Scanned at ×20; H&E stain; 14 tiles from the same stomach biopsy slide.
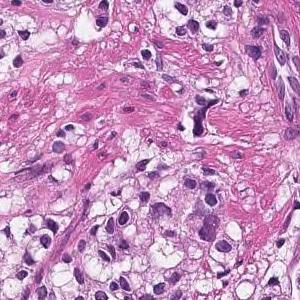
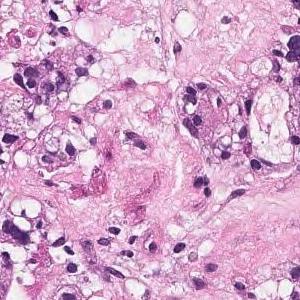
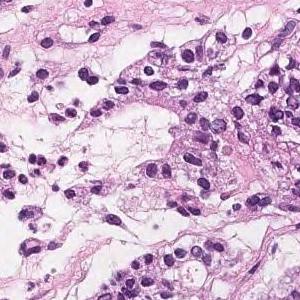
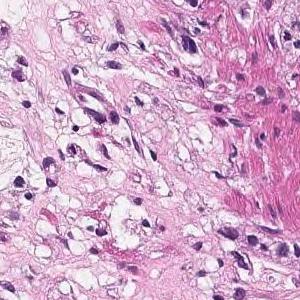
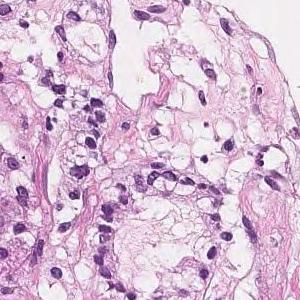
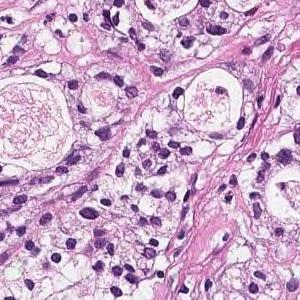
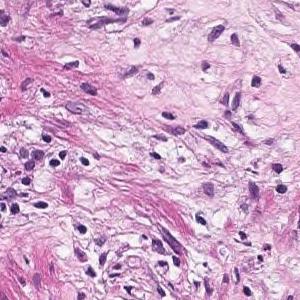
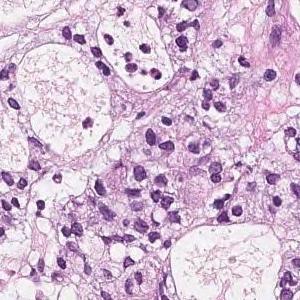
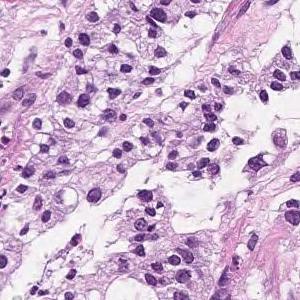
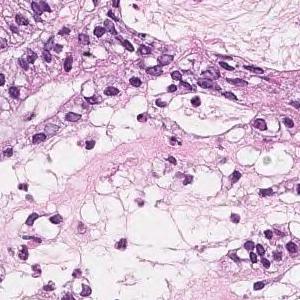
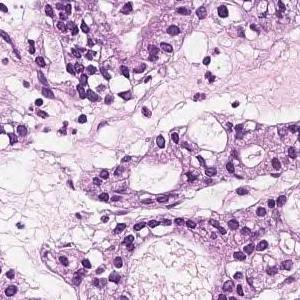
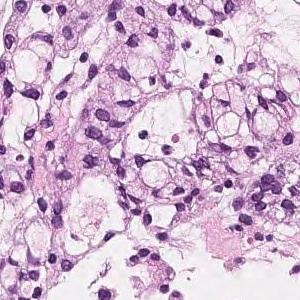
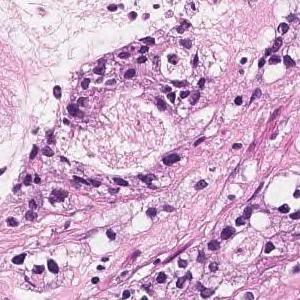
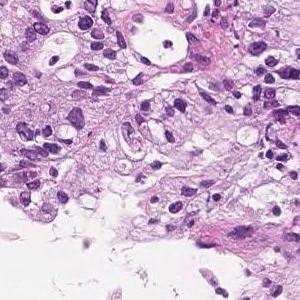
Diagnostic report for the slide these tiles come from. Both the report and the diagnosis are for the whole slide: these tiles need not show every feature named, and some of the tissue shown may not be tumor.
In the superficial epithelium, tumor tissue that invades by forming medium-sized to small, irregular ducts is observed. moderately differentiated tubular adenocarcinoma.
